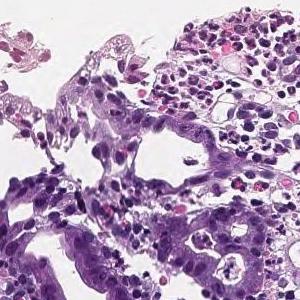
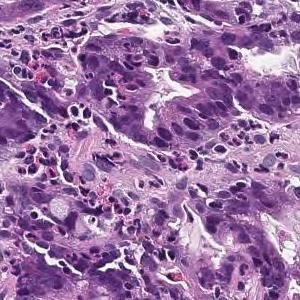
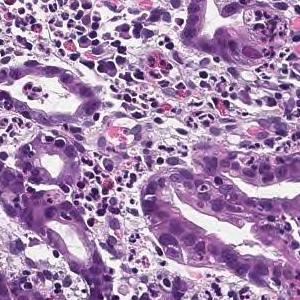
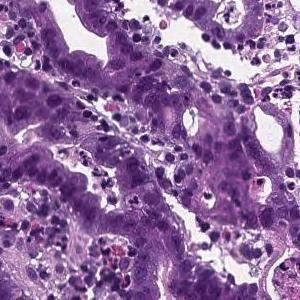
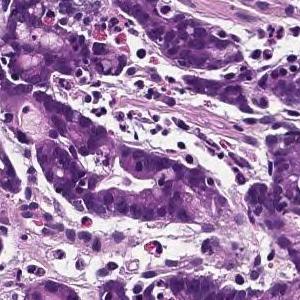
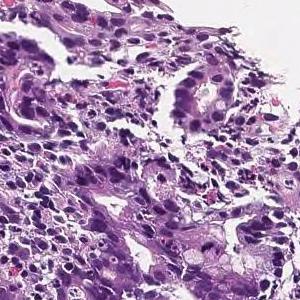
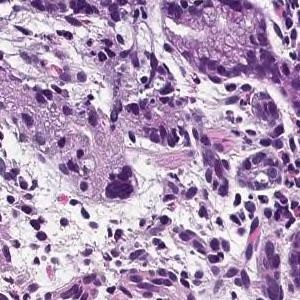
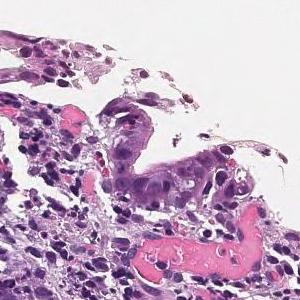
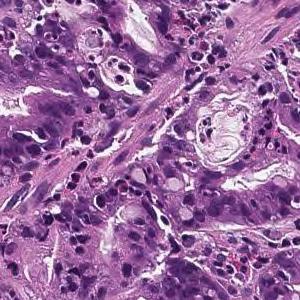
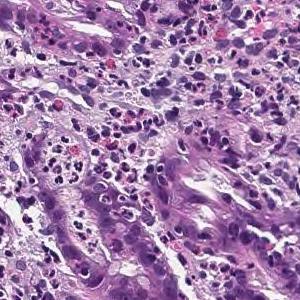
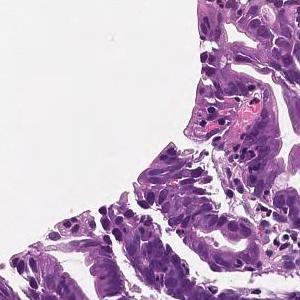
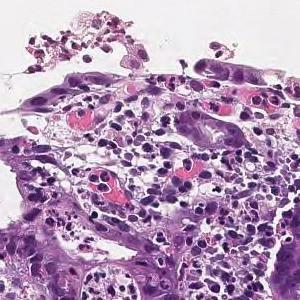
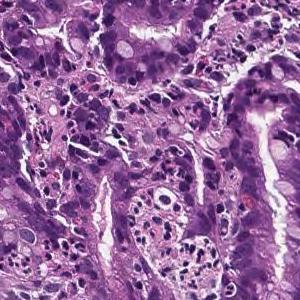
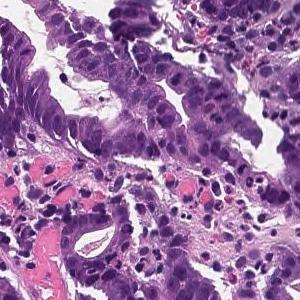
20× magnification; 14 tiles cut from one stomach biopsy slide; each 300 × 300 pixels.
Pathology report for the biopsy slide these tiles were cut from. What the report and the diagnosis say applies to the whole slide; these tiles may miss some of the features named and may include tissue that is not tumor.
In the superficial epithelium, tumor tissue that invades by forming medium-sized to small, irregular ducts is observed. moderately differentiated tubular adenocarcinoma.
